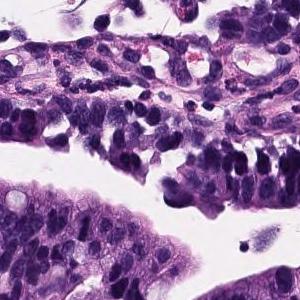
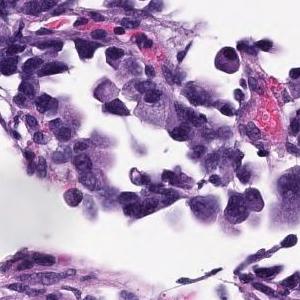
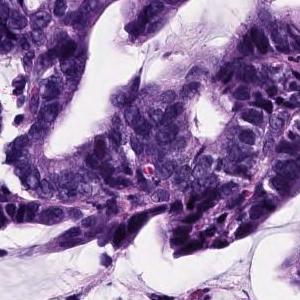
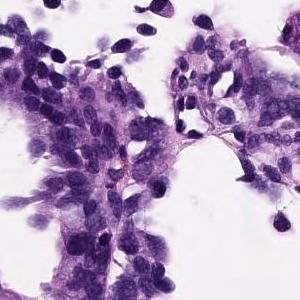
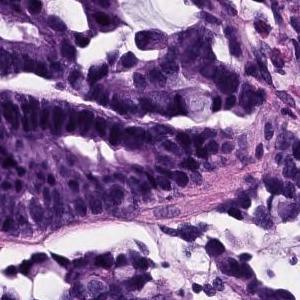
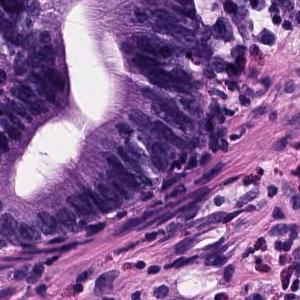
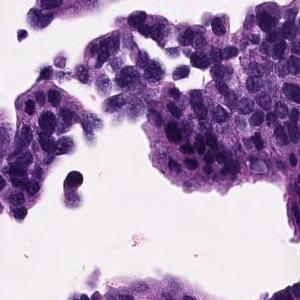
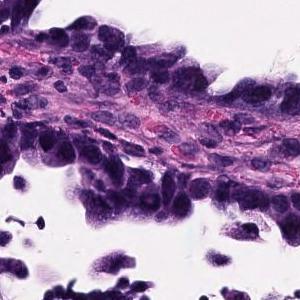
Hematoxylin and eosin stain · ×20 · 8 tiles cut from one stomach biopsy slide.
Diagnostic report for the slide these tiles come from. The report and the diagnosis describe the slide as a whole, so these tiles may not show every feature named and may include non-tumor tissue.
Atypical epithelium proliferating showing villus construction and irregular gland duct construction is observed. Moderately differentiated tubular adenocarcinoma.
